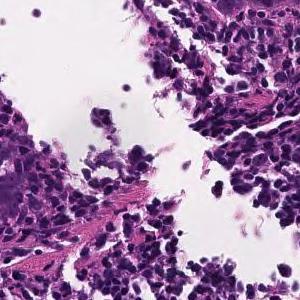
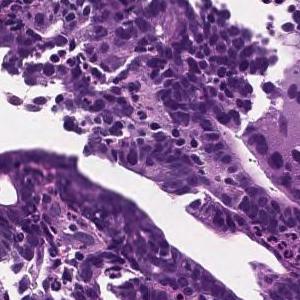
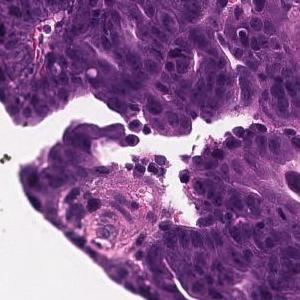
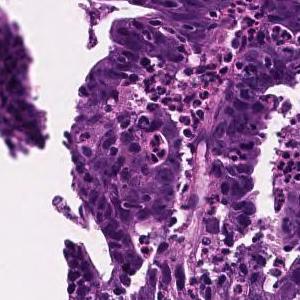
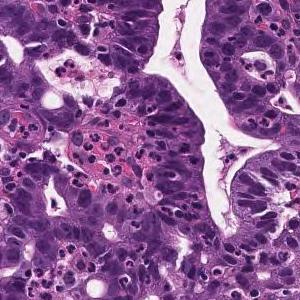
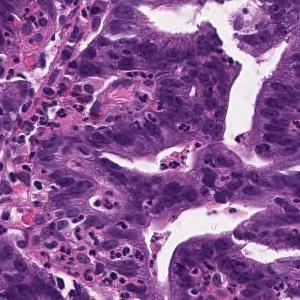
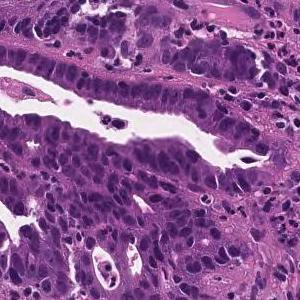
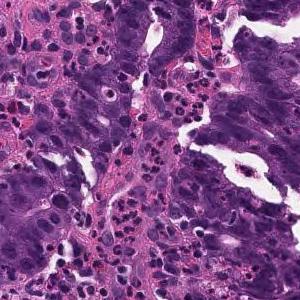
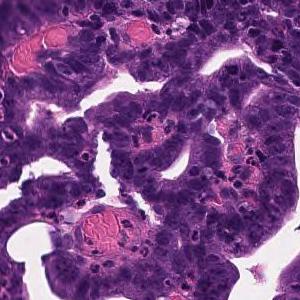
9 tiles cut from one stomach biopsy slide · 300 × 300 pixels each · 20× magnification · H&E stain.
Pathology report for the slide these tiles were cut from. The report and the diagnosis describe the slide as a whole, so these tiles may not show every feature named and may include non-tumor tissue.
Tumor cells are large, highly columnar, large club-shaped nuclei, and are associated with chromatin aggregation. Papillary adenocarcinoma.
